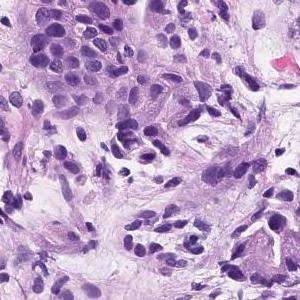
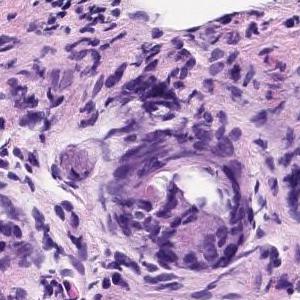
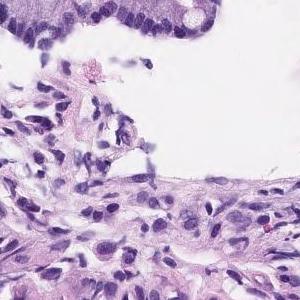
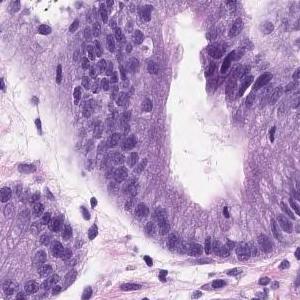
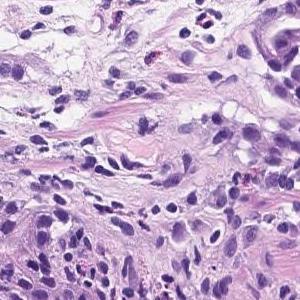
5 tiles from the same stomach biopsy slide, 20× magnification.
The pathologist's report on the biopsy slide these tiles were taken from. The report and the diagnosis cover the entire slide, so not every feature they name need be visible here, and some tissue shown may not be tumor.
Tumor tissue consisting of medium-sized and irregular ducts is observed infiltrating in the superficial epithelium. Tumor cells are highly columnar, with nuclei aligned basolaterally and polarized. Well differentiated tubular adenocarcinoma.
